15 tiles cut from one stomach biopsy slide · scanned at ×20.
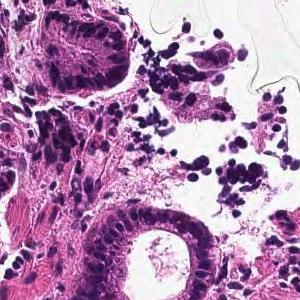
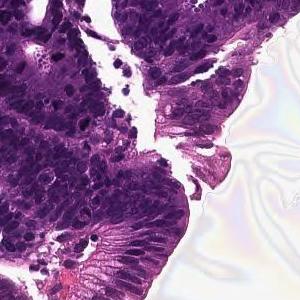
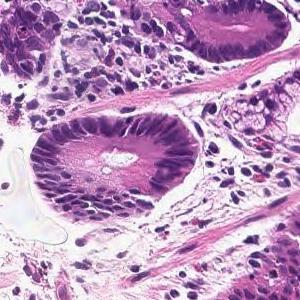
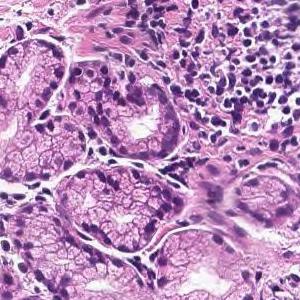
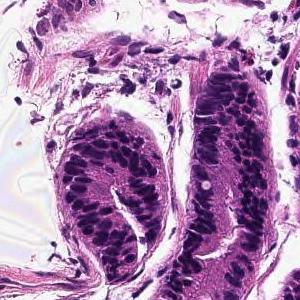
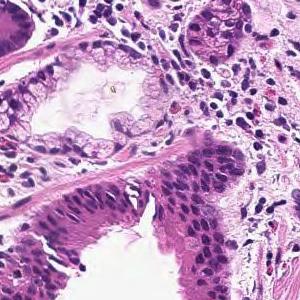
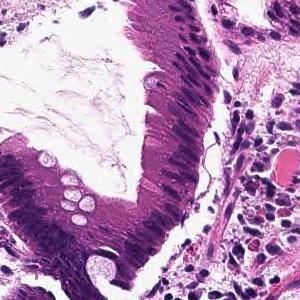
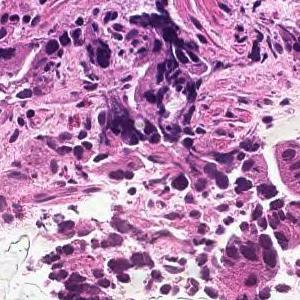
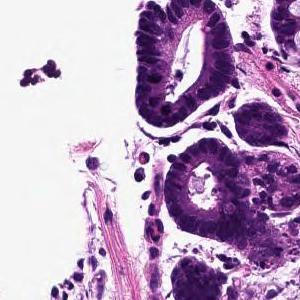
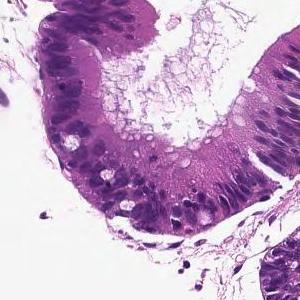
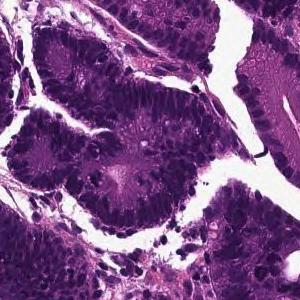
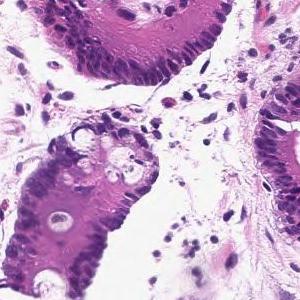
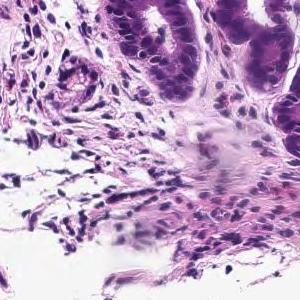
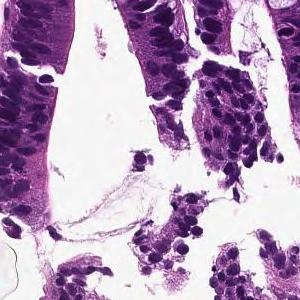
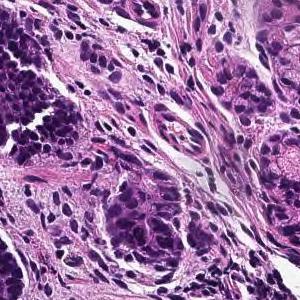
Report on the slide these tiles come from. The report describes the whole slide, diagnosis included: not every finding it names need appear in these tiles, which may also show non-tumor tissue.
From the superficial epithelium to the muscularis mucosae, tumor tissue consisting of medium-sized and irregular glandular ducts infiltrating is observed. Well differentiated tubular adenocarcinoma
